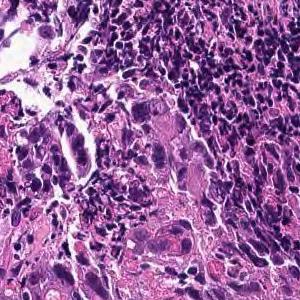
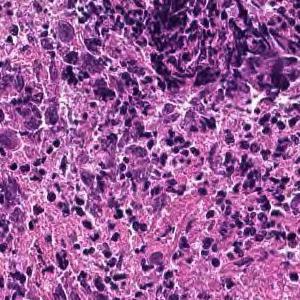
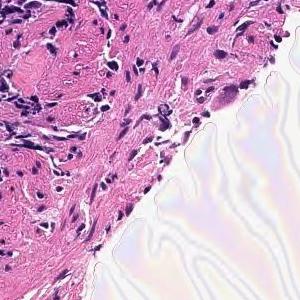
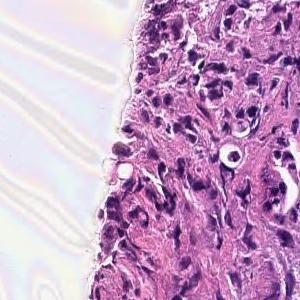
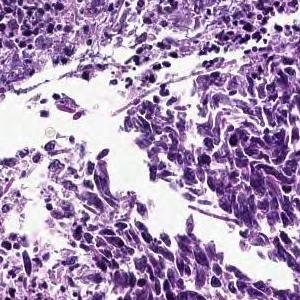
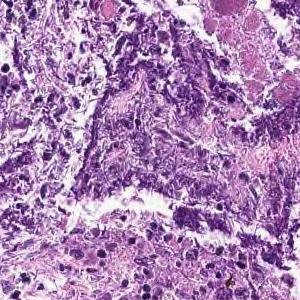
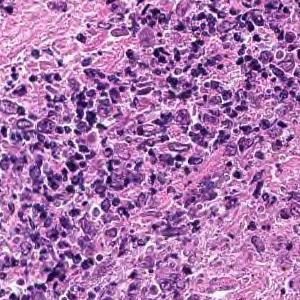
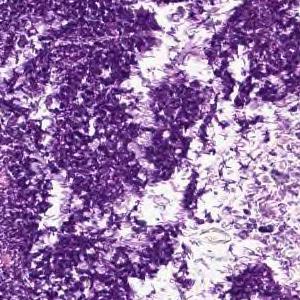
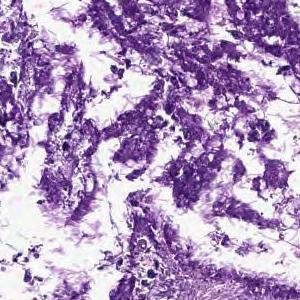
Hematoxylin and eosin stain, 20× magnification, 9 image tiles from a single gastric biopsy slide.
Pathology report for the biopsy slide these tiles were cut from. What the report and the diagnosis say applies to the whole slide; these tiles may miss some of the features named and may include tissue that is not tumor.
Cancers with polygonal nuclei do not show glandular formation and are densely, in part, cord-like and proliferate. Poorly differentiated adenocarcinoma
Subtype: Poorly differentiated adenocarcinoma, non-solid type.
"Non-solid type" is a category of the Japanese Classification of Gastric Carcinoma.
